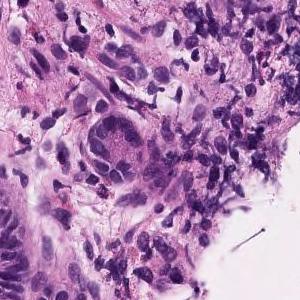
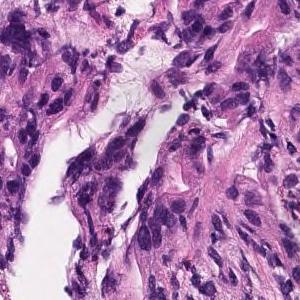
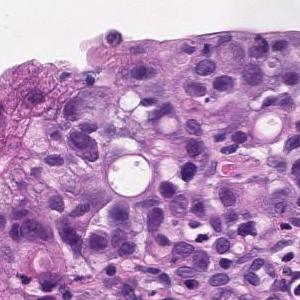
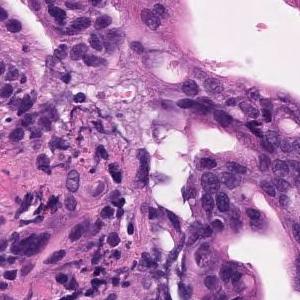
4 image tiles from a single gastric biopsy slide, 300 × 300 pixels each, H&E stain.
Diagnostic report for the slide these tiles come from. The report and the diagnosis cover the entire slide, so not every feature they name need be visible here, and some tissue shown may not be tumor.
moderately differentiated tubular adenocarcinoma, Poorly differentiated adenocarcinoma
Labeled in the dataset as poorly differentiated adenocarcinoma, solid type. This name comes from the Japanese Classification of Gastric Carcinoma; the WHO 2019 classification calls it tubular adenocarcinoma, poorly differentiated.
